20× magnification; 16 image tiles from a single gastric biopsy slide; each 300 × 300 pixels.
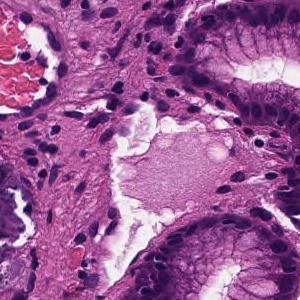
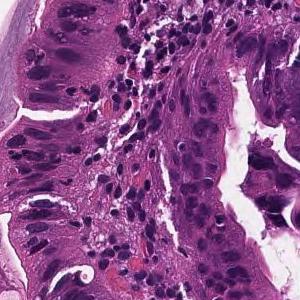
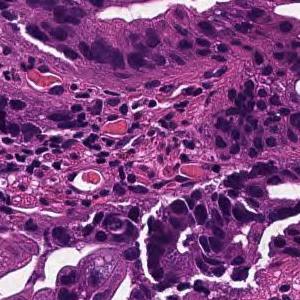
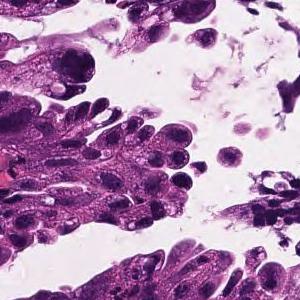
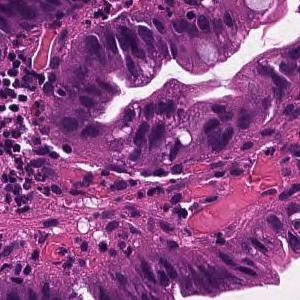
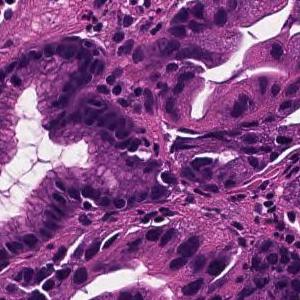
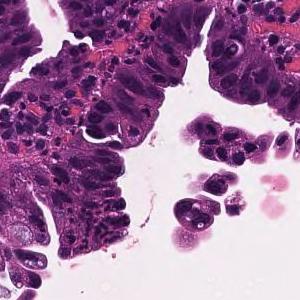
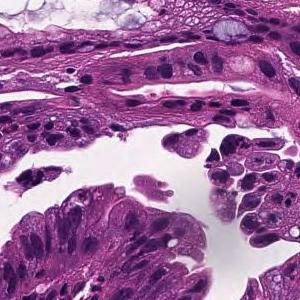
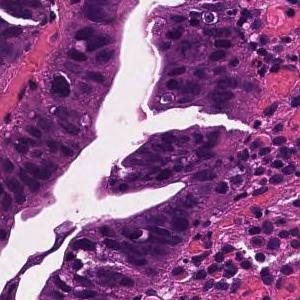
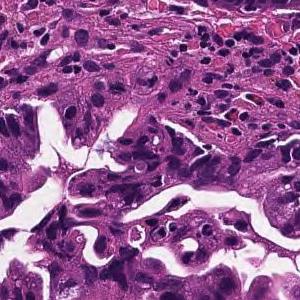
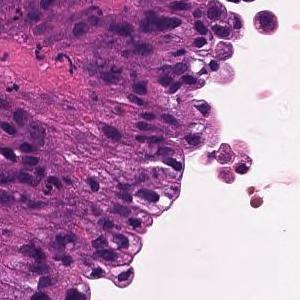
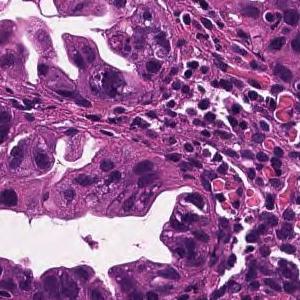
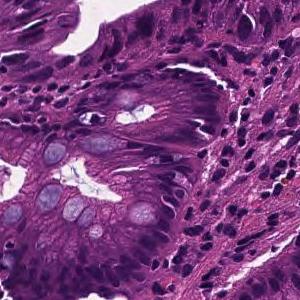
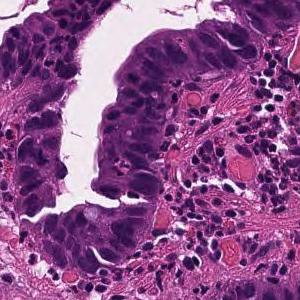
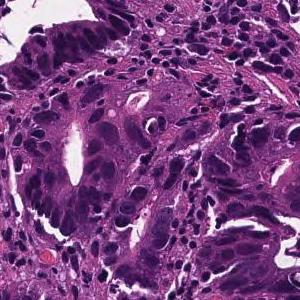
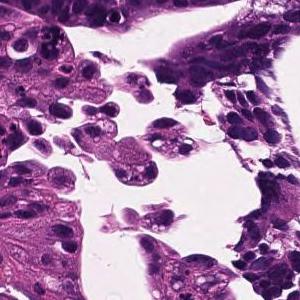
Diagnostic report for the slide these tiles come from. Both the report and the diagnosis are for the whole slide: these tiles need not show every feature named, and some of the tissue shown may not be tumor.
From the superficial epithelium to the muscularis mucosae, tumor tissue consisting of medium-sized and irregular glandular ducts infiltrating is observed. Well differentiated tubular adenocarcinoma
